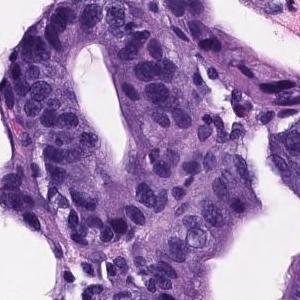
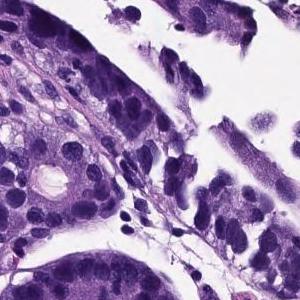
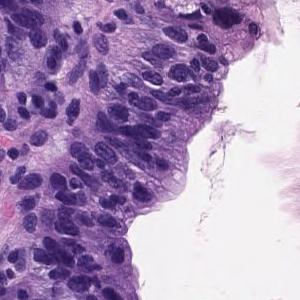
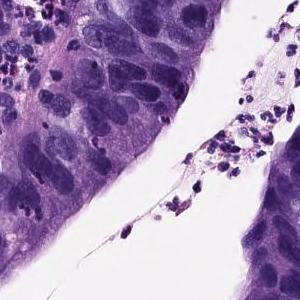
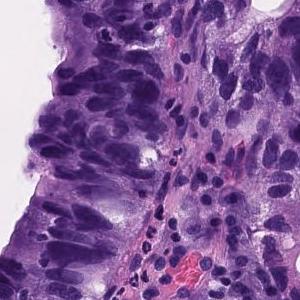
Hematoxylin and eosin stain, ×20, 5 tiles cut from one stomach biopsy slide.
Pathology report for the biopsy slide these tiles were cut from. Both the report and the diagnosis are for the whole slide: these tiles need not show every feature named, and some of the tissue shown may not be tumor.
There are atypical l cells with atypical nuclei forming irregular glandular ducts and growing in a complex manner. Well differentiated tubular adenocarcinoma
